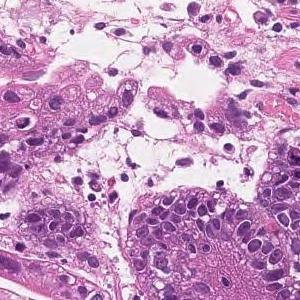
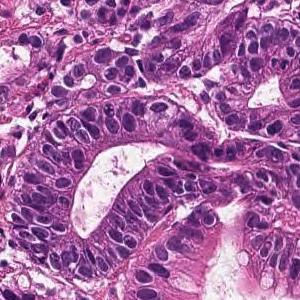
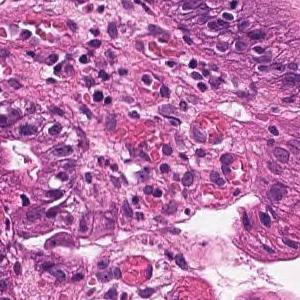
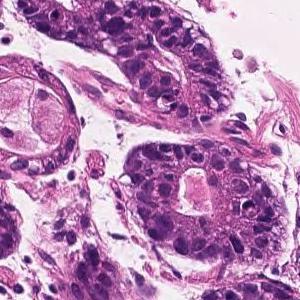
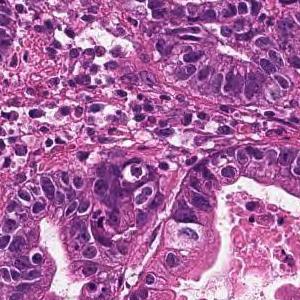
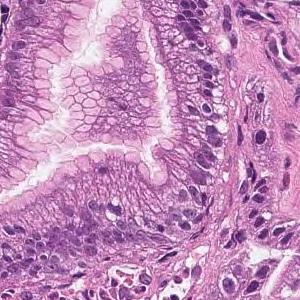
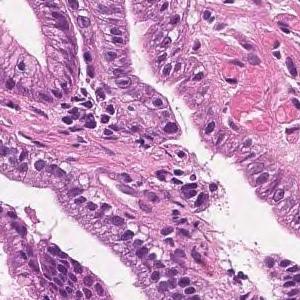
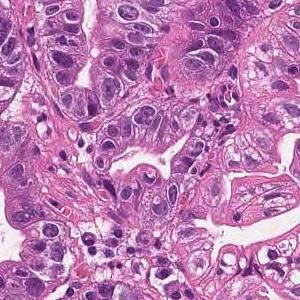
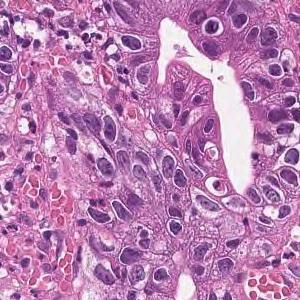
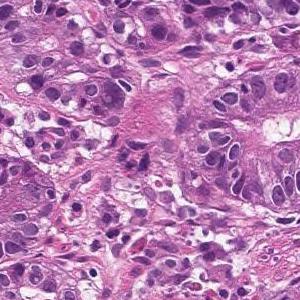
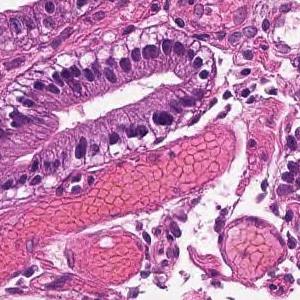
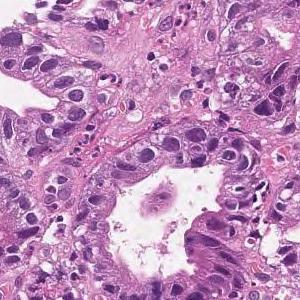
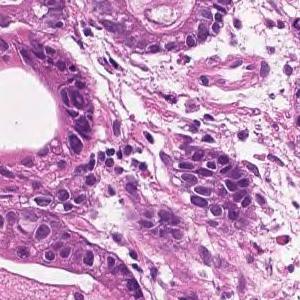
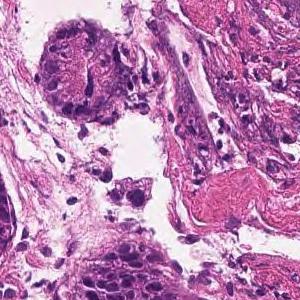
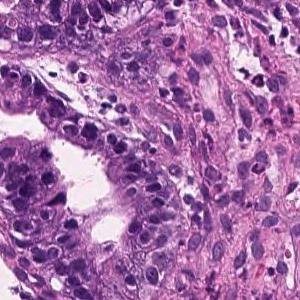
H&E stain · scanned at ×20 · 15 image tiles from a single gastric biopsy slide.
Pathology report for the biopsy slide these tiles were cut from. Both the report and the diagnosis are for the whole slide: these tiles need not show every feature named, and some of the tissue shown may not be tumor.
In the superficial epithelium, tumor tissue that invades by forming medium-sized to small, irregular ducts is observed. Well differentiated tubular adenocarcinoma.
